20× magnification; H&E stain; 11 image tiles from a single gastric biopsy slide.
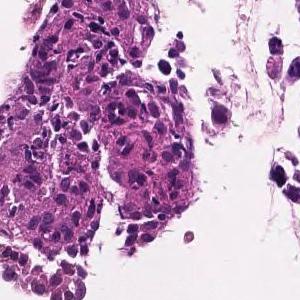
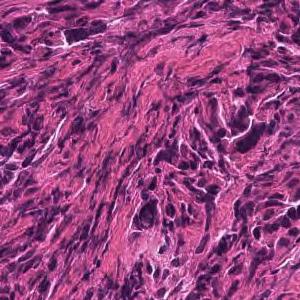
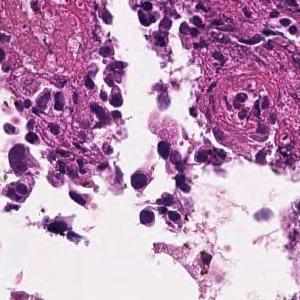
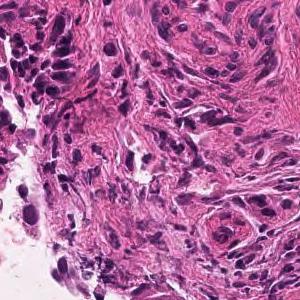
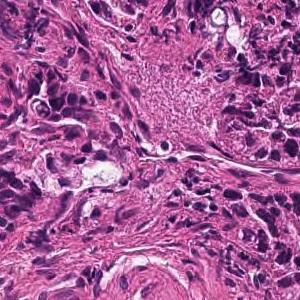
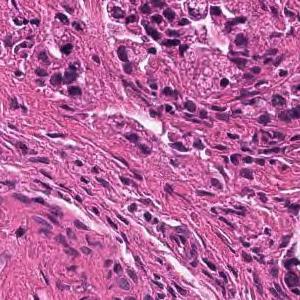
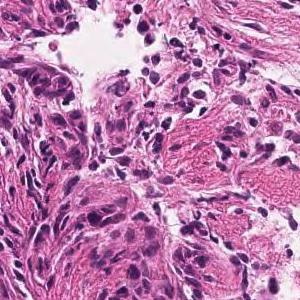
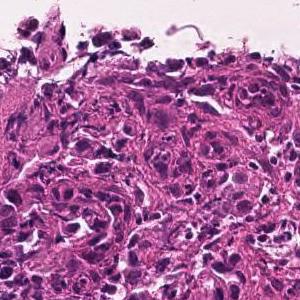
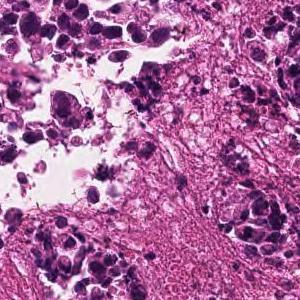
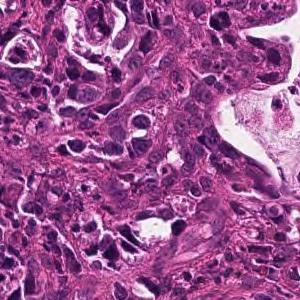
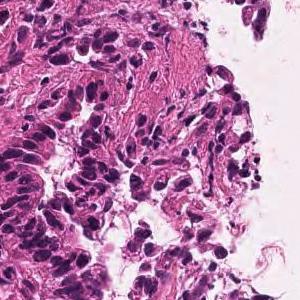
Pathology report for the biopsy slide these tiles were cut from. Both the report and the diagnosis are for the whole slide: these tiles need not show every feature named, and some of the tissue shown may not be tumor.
In the superficial epithelium, tumor tissue that invades by forming medium-sized to small, irregular ducts is observed. moderately differentiated tubular adenocarcinoma.
